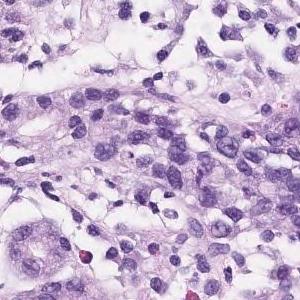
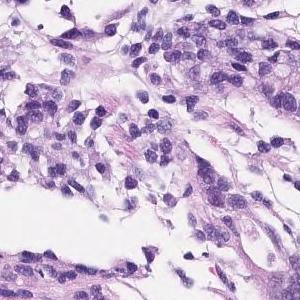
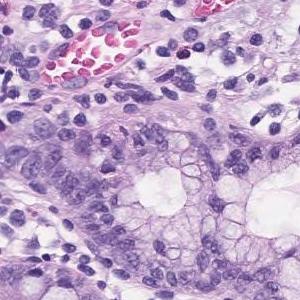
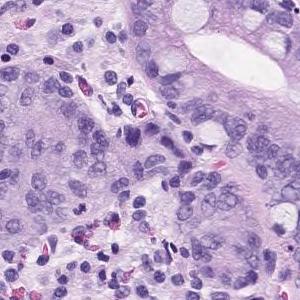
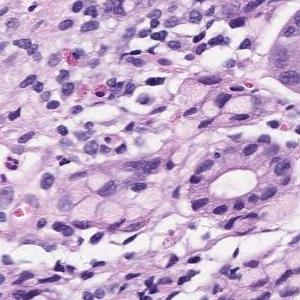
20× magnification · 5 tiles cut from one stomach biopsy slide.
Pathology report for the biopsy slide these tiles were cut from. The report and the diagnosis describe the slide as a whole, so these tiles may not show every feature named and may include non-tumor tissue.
Atypical l cells with atypical nuclei forming diffuse or small irregular atypical ducts and growing. Moderately to poorly differentiated adenocarcinoma (poorly differentiated adenocarcinoma, solid type moderately differentiated tubular adenocarcinoma)
Tumor subtype: moderately to poorly differentiated adenocarcinoma.
The solid type named here is a Japanese Classification of Gastric Carcinoma category; WHO 2019 calls it tubular adenocarcinoma, poorly differentiated.
